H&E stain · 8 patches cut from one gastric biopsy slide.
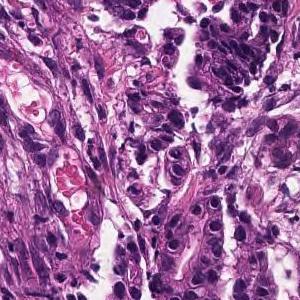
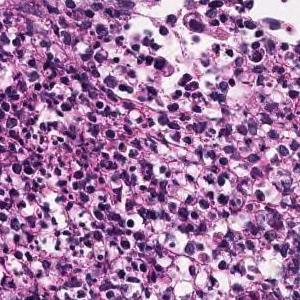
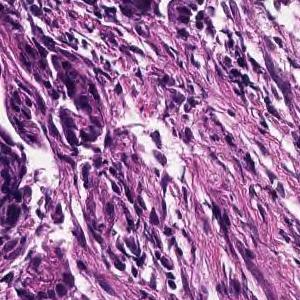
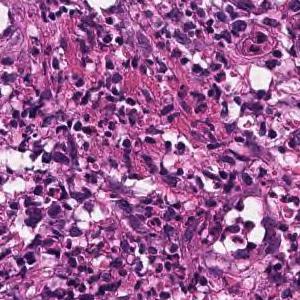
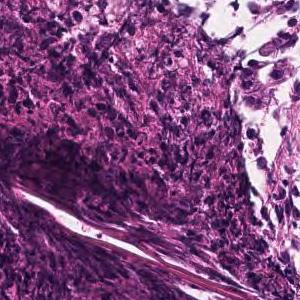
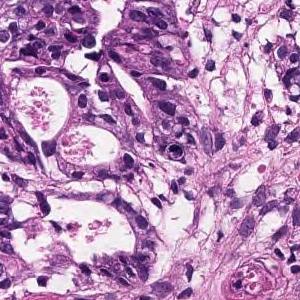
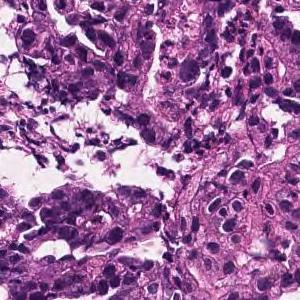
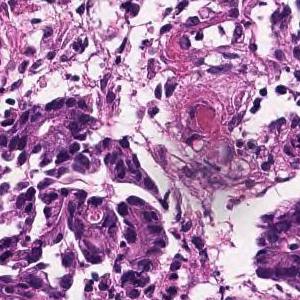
Report on the slide these tiles come from. What the report and the diagnosis say applies to the whole slide; these tiles may miss some of the features named and may include tissue that is not tumor.
In the superficial epithelium, medium to small, irregular gland ducts are formed, and in some cases, the gland ducts are fused to show solid alveolar lesions and infiltrating tumor tissue is observed. Moderately to poorly differentiated adenocarcinoma.
